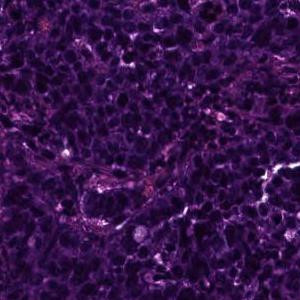
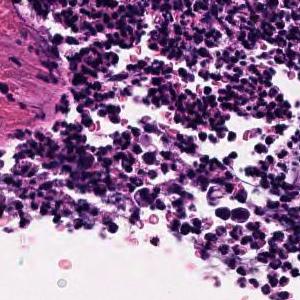
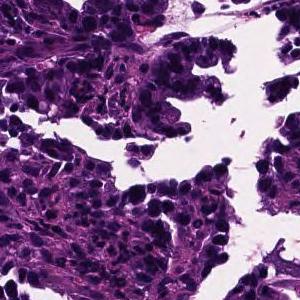
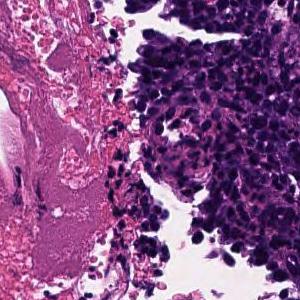
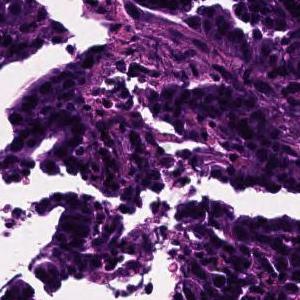
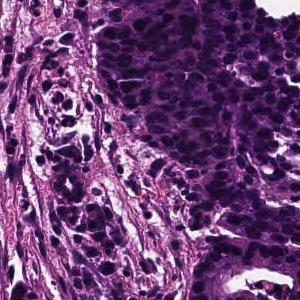
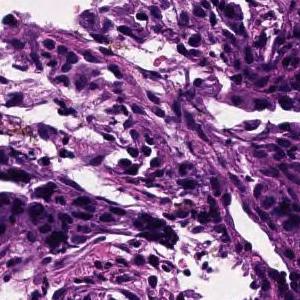
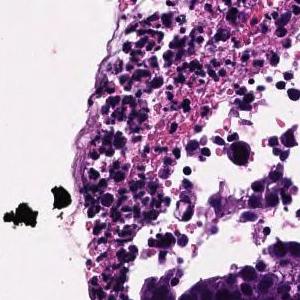
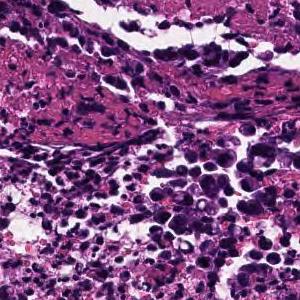
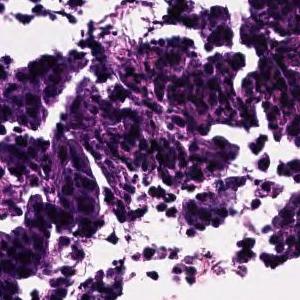
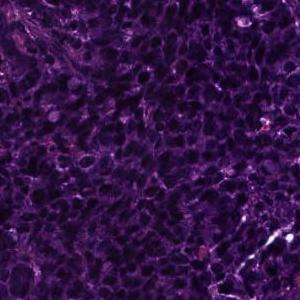
Hematoxylin and eosin stain; 11 tiles cut from one stomach biopsy slide; each 300 × 300 pixels.
Pathology report for the biopsy slide these tiles were cut from. What the report and the diagnosis say applies to the whole slide; these tiles may miss some of the features named and may include tissue that is not tumor.
In the superficial epithelium, tumor tissue that invades by forming medium-sized to small, irregular ducts is observed. moderately differentiated tubular adenocarcinoma.
